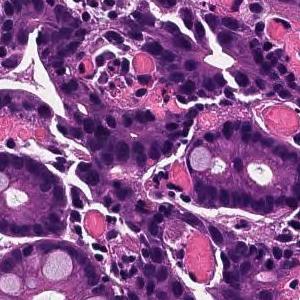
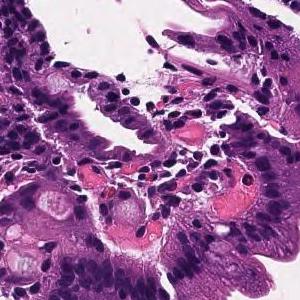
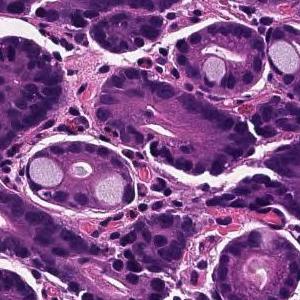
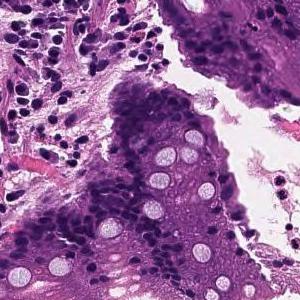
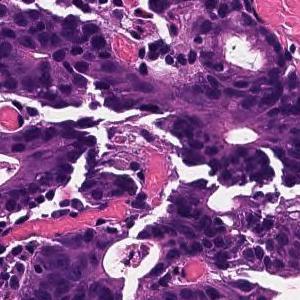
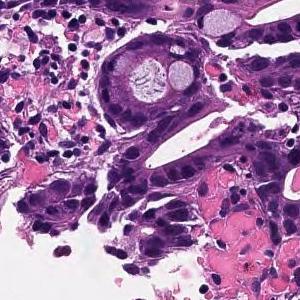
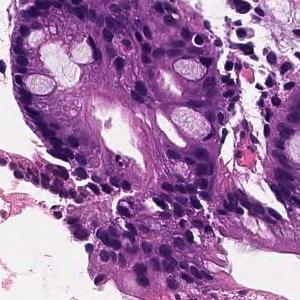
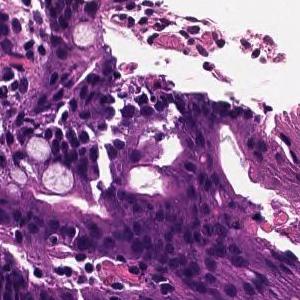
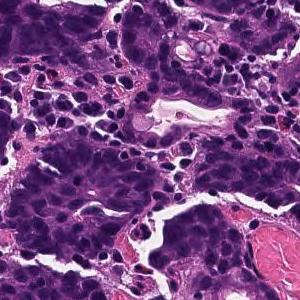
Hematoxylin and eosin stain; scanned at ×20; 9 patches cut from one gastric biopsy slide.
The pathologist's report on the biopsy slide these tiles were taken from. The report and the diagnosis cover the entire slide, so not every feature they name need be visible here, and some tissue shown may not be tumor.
In the superficial epithelium, tumor tissue that invades by forming medium-sized to small, irregular ducts is observed. moderately differentiated tubular adenocarcinoma.
